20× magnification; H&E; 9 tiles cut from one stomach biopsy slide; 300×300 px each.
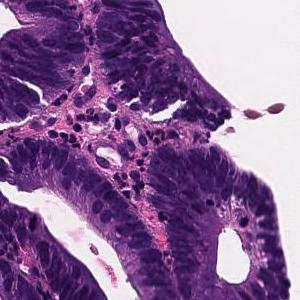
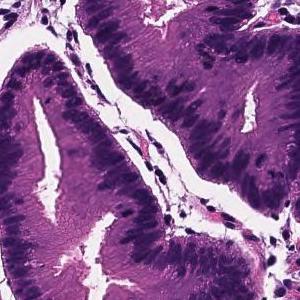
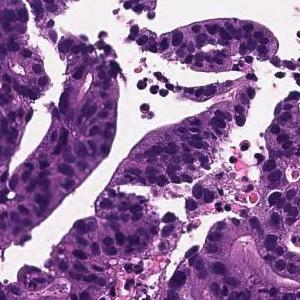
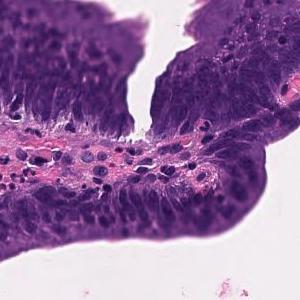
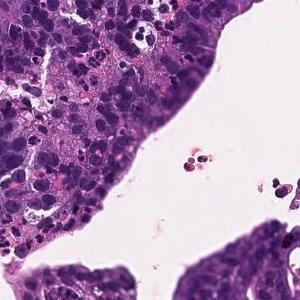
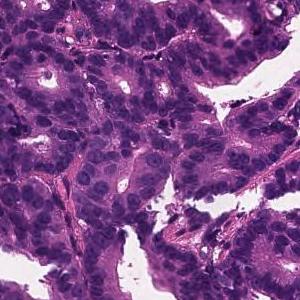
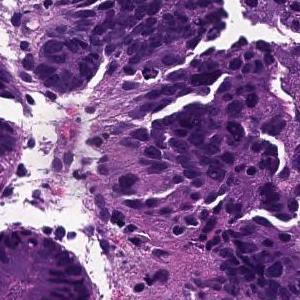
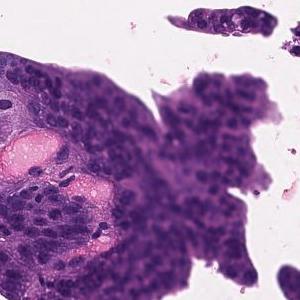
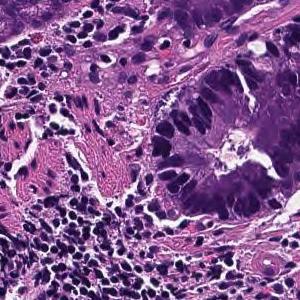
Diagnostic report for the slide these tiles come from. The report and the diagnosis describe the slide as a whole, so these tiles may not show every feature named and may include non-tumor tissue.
Tumor tissue consisting of large papillary structures is found in the superficial epithelium. Papillary adenocarcinoma.
